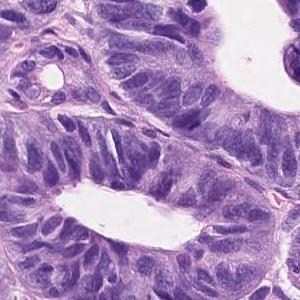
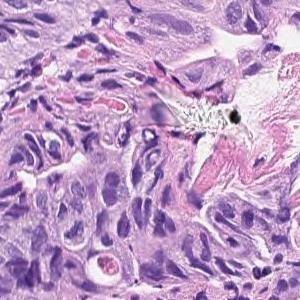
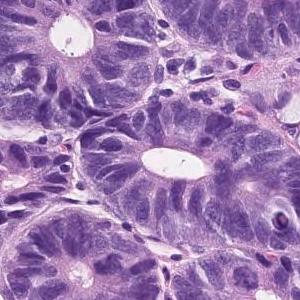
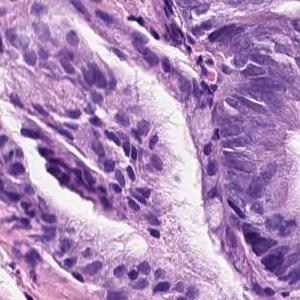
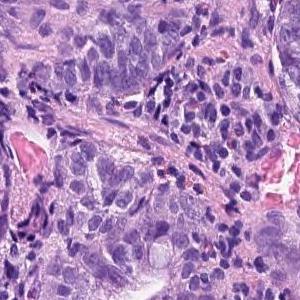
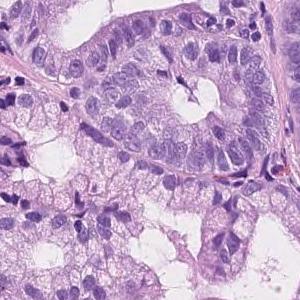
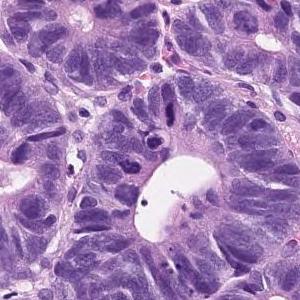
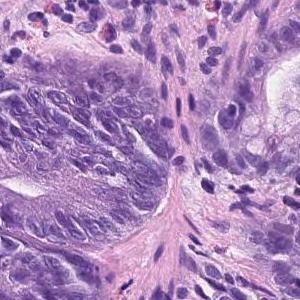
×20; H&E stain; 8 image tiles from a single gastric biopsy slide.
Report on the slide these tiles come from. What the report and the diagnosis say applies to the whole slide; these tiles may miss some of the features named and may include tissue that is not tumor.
Tumor tissue consisting of medium-sized and irregular ducts is observed infiltrating in the superficial epithelium. Tumor cells are highly columnar, with nuclei aligned basolaterally and polarized. Well differentiated tubular adenocarcinoma.
